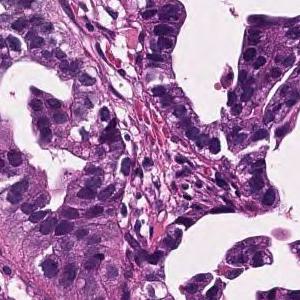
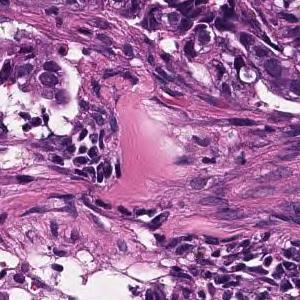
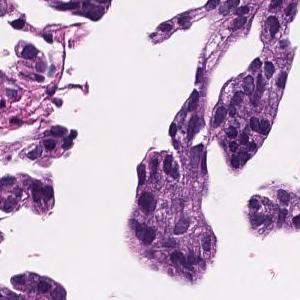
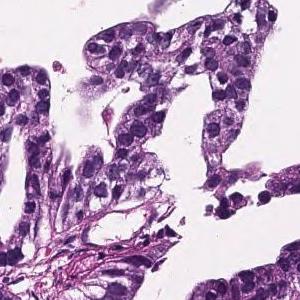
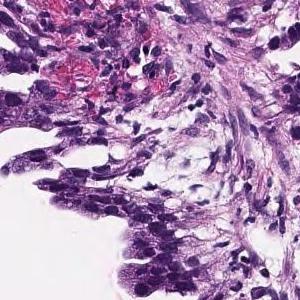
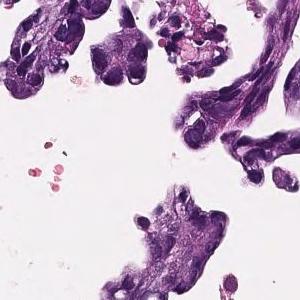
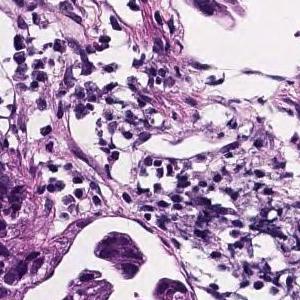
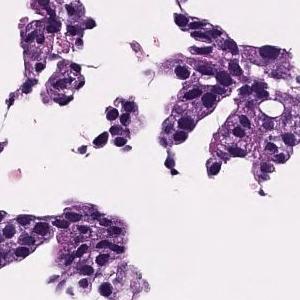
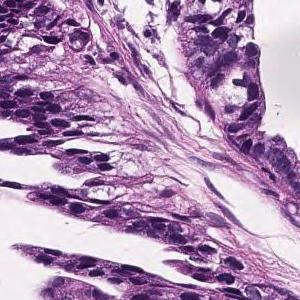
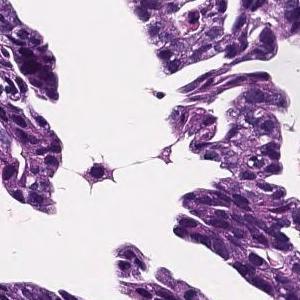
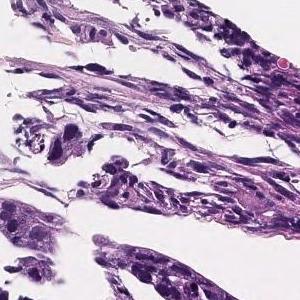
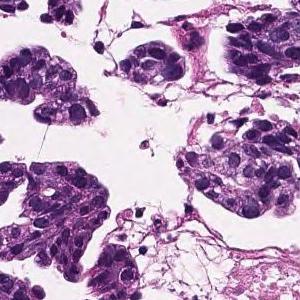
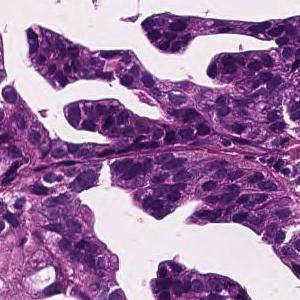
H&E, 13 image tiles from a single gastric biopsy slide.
Pathology report for the biopsy slide these tiles were cut from. Both the report and the diagnosis are for the whole slide: these tiles need not show every feature named, and some of the tissue shown may not be tumor.
In the lamina propria, tumor tissue that invades by forming medium-sized to small, irregular glandular ducts is observed. moderately differentiated tubular adenocarcinoma
